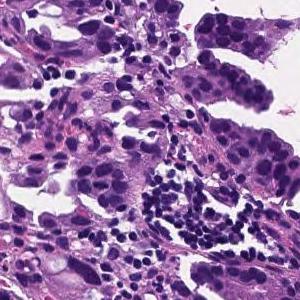
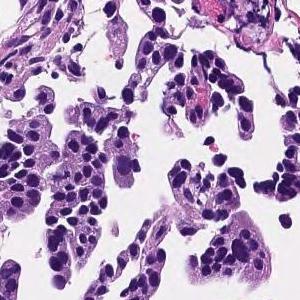
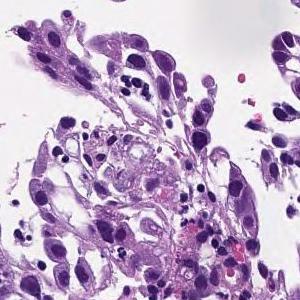
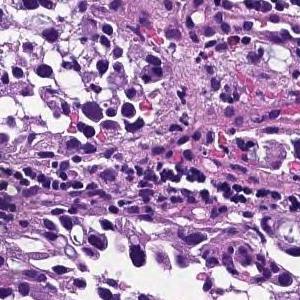
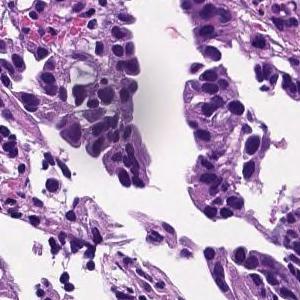
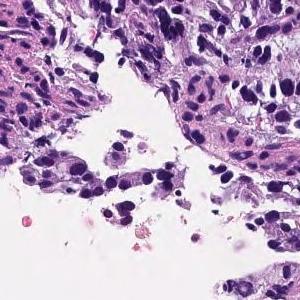
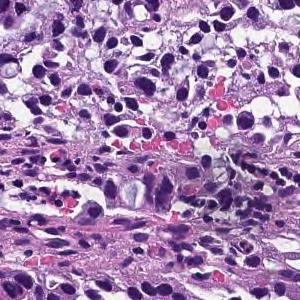
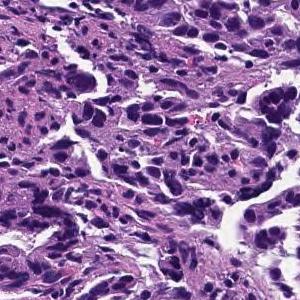
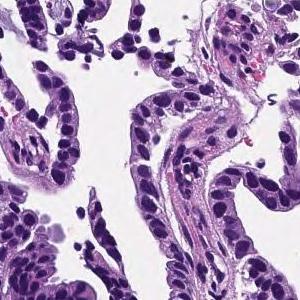
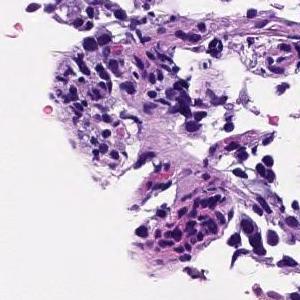
10 tiles from the same stomach biopsy slide · 300 × 300 pixels each · H&E stain · 20× magnification.
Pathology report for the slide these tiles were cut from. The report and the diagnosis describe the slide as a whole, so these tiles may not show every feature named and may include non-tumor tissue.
Tumor tissue consisting of medium-sized, cord-like or irregular glandular infiltration is observed in the superficial epithelium. Poorly differentiated adenocarcinoma, non-solid type or moderately differentiated tubular adenocarcinoma
Histologic type: Moderately to poorly differentiated adenocarcinoma.
The term "non-solid type" comes from the Japanese Classification of Gastric Carcinoma.
